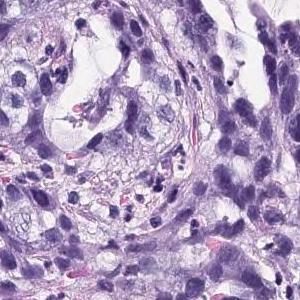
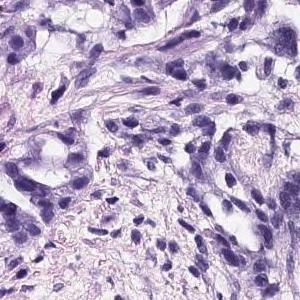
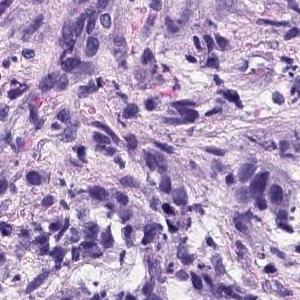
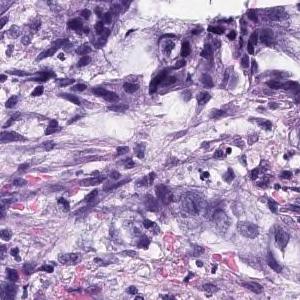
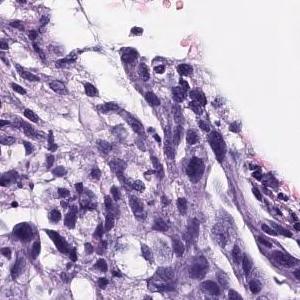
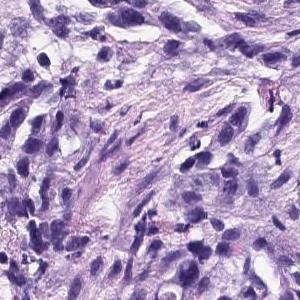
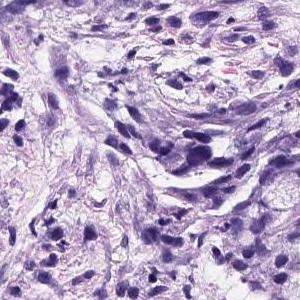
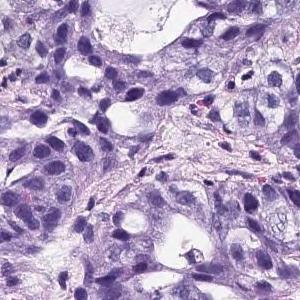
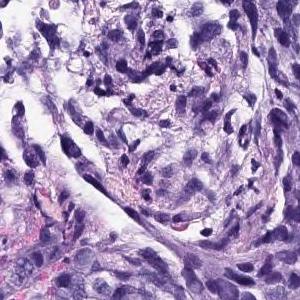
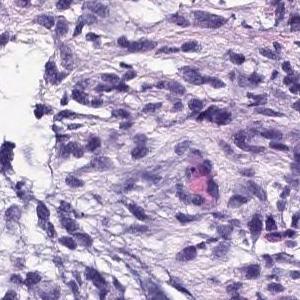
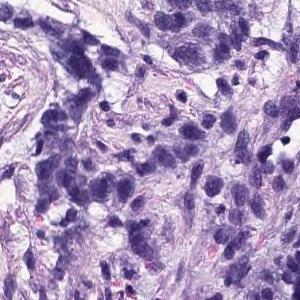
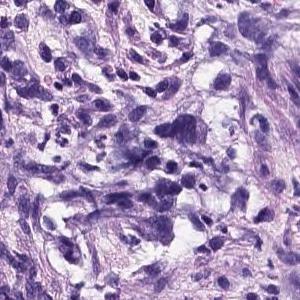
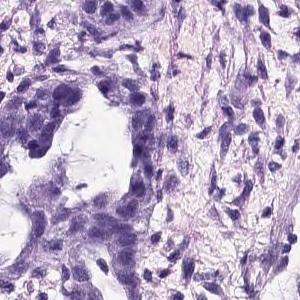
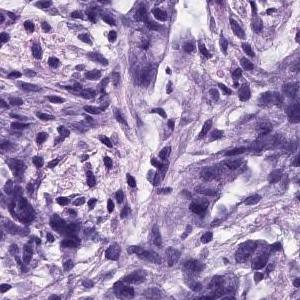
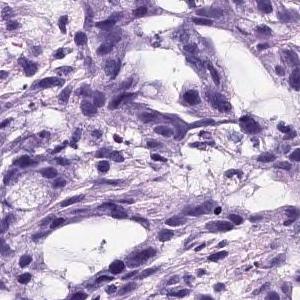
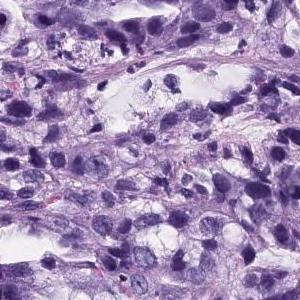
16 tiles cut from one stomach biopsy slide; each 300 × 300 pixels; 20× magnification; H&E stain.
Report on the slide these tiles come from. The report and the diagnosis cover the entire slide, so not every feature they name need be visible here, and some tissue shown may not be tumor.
Atypical l cells with atypical nuclei forming solid or diffuse vesicle nests and proliferating in a complex manner. Poorly differentiated adenocarcinoma, moderately differentiated tubular adenocarcinoma
Histologic type: Moderately to poorly differentiated adenocarcinoma.
